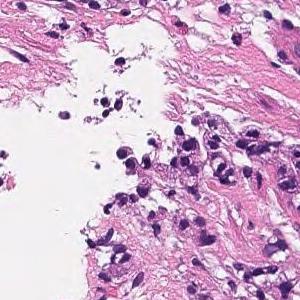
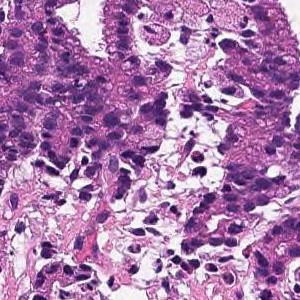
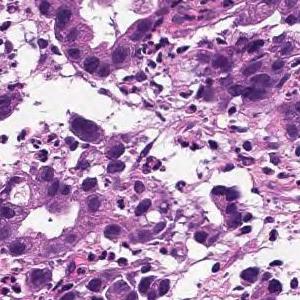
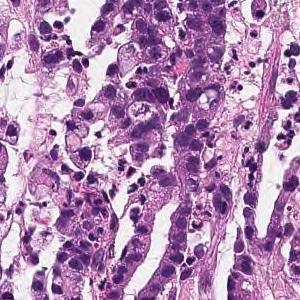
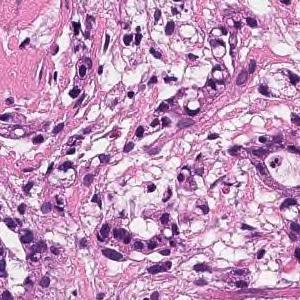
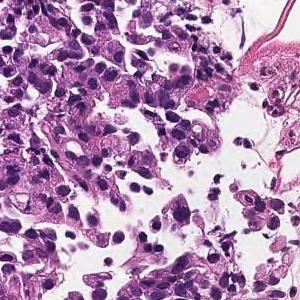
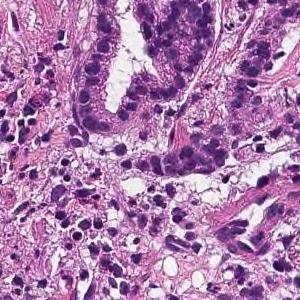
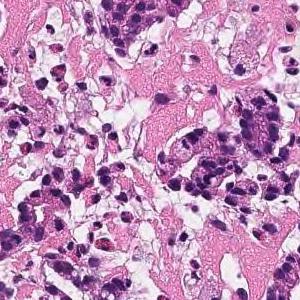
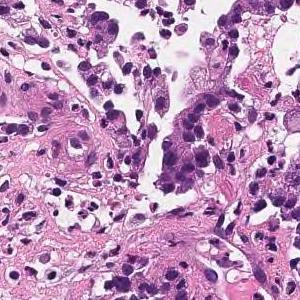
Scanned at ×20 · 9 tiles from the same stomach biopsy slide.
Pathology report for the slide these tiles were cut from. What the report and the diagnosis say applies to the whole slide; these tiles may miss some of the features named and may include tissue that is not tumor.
In the superficial epithelium, tumor tissue that invades by forming medium-sized to small, irregular ducts is observed. moderately differentiated tubular adenocarcinoma.
